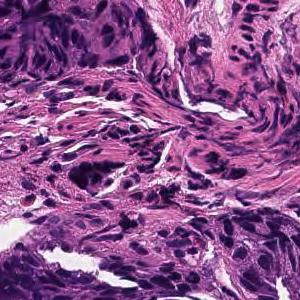
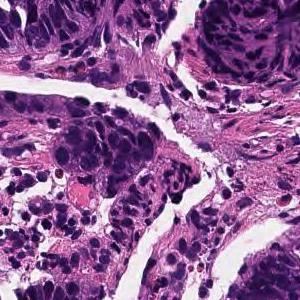
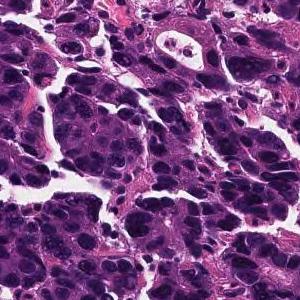
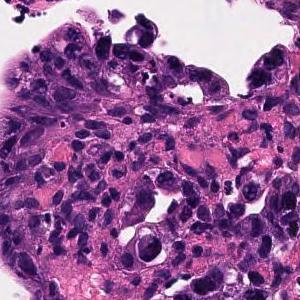
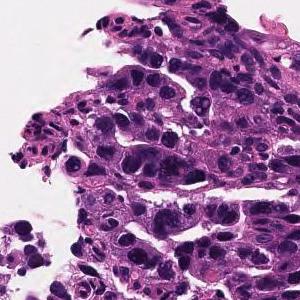
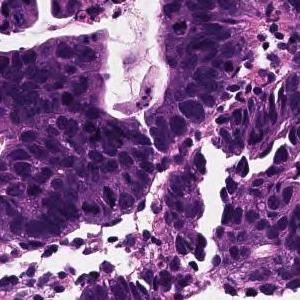
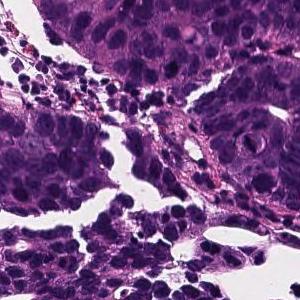
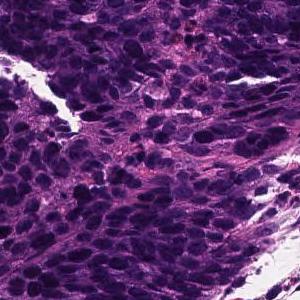
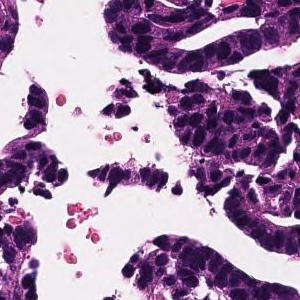
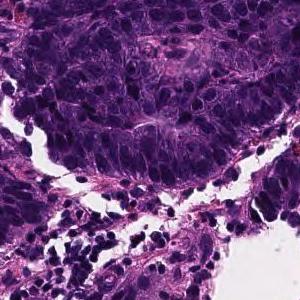
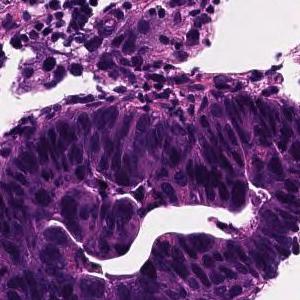
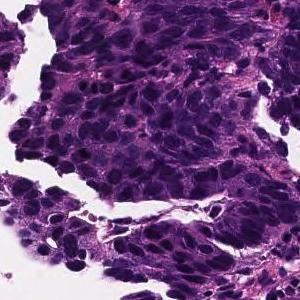
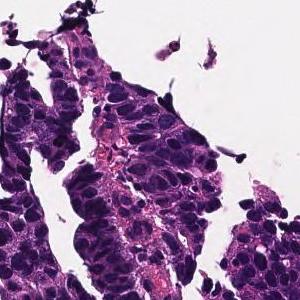
13 tiles from the same stomach biopsy slide, ×20.
Pathology report for the slide these tiles were cut from. The report describes the whole slide, diagnosis included: not every finding it names need appear in these tiles, which may also show non-tumor tissue.
In the superficial epithelium, tumor tissue that invades by forming medium-sized to small, irregular ducts is observed. moderately differentiated tubular adenocarcinoma.
